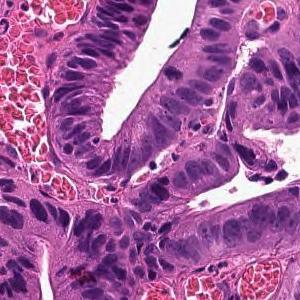
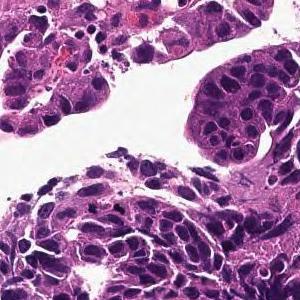
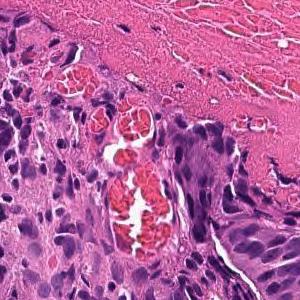
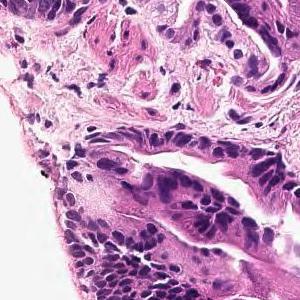
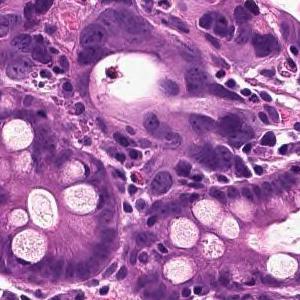
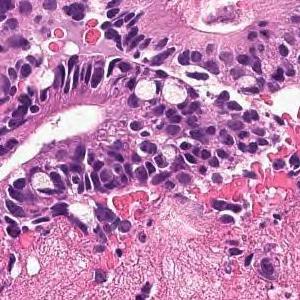
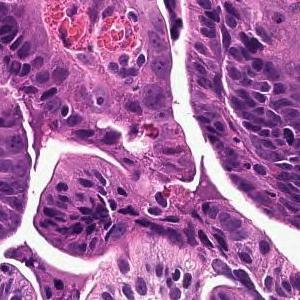
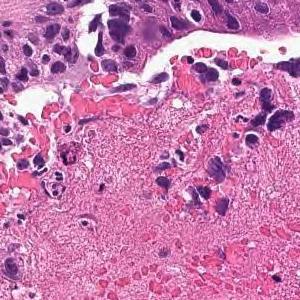
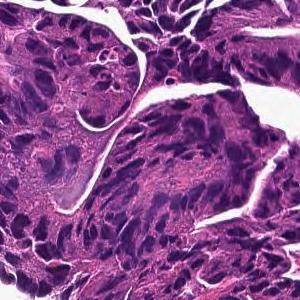
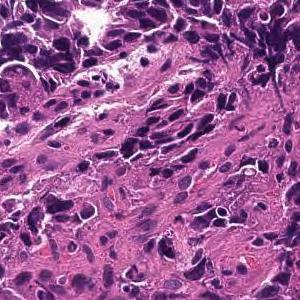
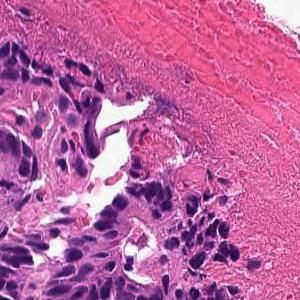
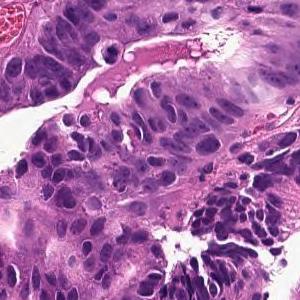
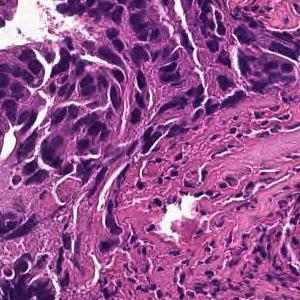
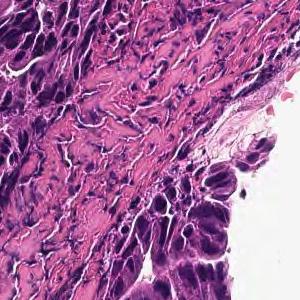
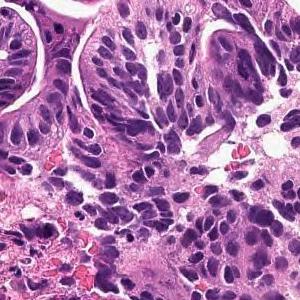
H&E, 15 image tiles from a single gastric biopsy slide, 300×300 px each.
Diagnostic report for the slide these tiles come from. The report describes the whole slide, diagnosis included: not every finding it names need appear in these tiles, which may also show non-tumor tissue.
From the superficial epithelium to the muscularis mucosae, tumor tissue consisting of medium-sized and irregular glandular ducts infiltrating is observed. Well differentiated tubular adenocarcinoma
